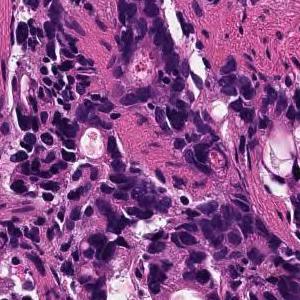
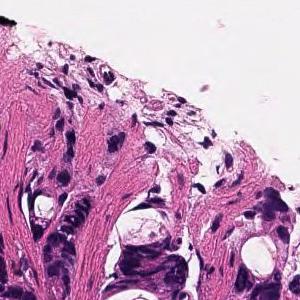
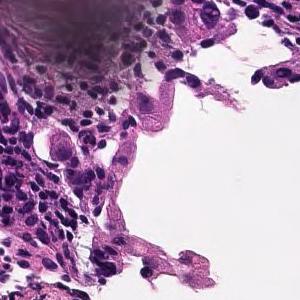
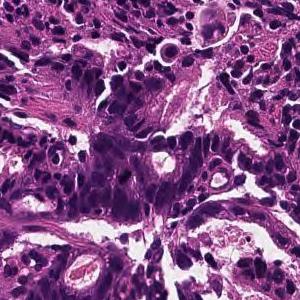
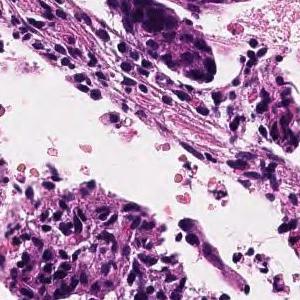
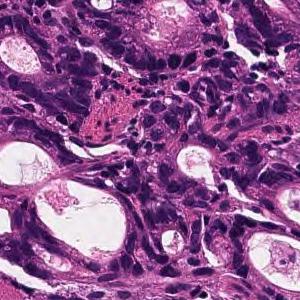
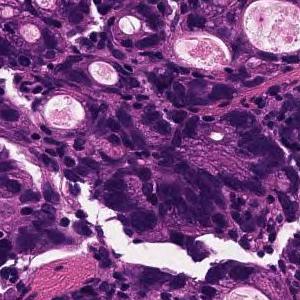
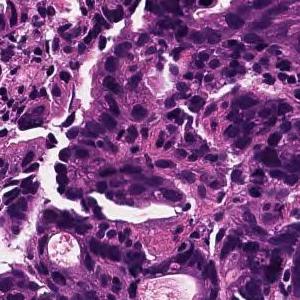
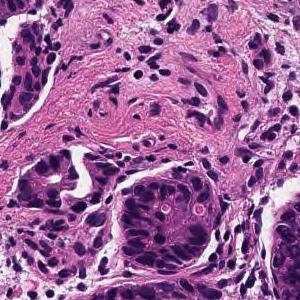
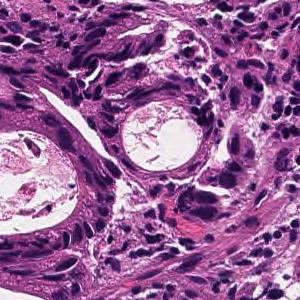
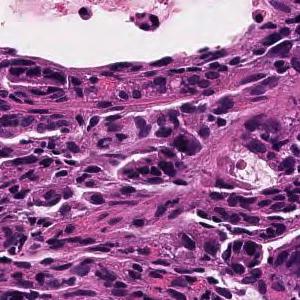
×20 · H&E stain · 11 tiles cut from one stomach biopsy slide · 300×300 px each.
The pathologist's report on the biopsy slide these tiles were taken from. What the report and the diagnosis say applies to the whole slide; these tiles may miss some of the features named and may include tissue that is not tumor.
In the superficial epithelium, tumor tissue that invades by forming medium-sized to small, irregular ducts is observed. moderately differentiated tubular adenocarcinoma.
